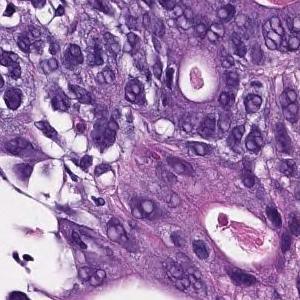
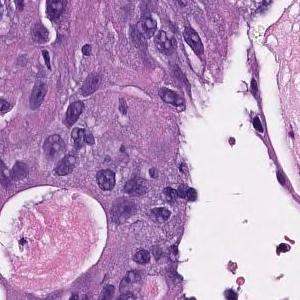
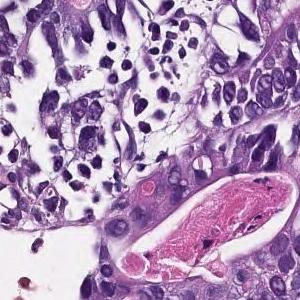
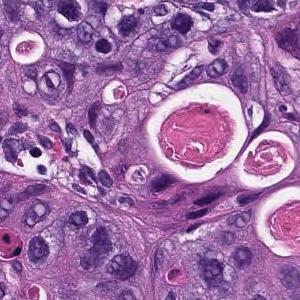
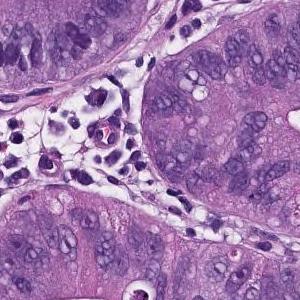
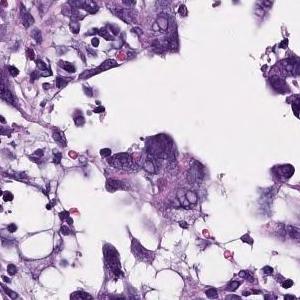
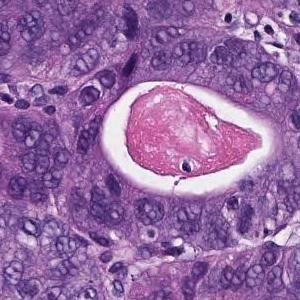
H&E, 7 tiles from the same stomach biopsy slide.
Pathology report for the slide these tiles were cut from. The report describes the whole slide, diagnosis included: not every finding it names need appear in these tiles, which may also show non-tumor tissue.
In the superficial epithelium, tumor tissue that invades by forming medium-sized to small, irregular ducts is observed. moderately differentiated tubular adenocarcinoma.
